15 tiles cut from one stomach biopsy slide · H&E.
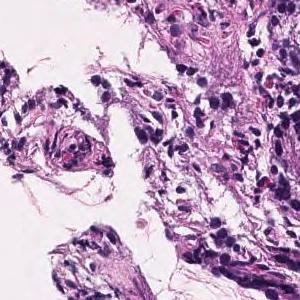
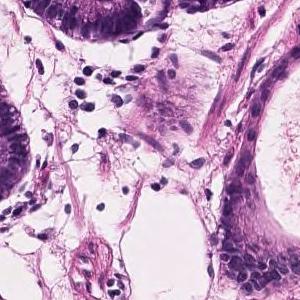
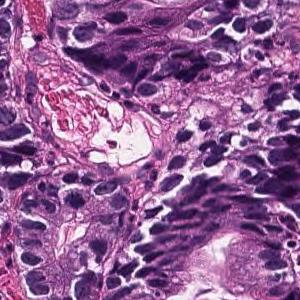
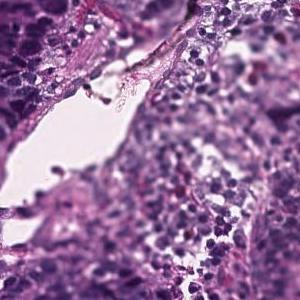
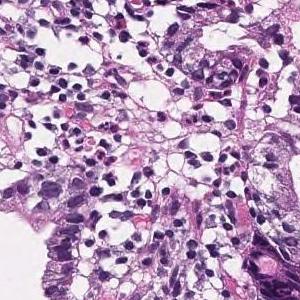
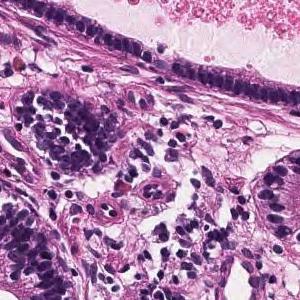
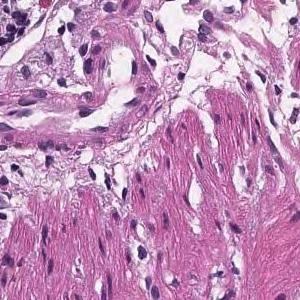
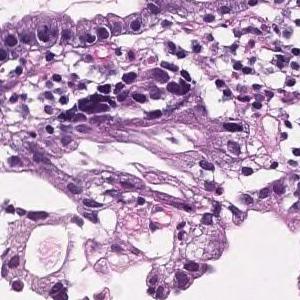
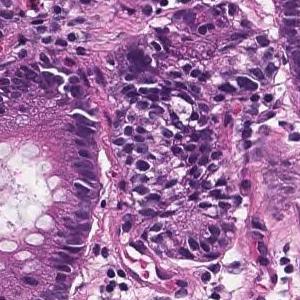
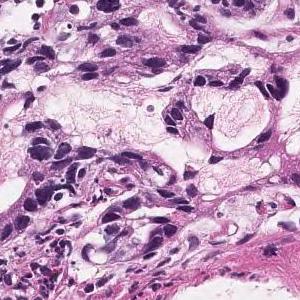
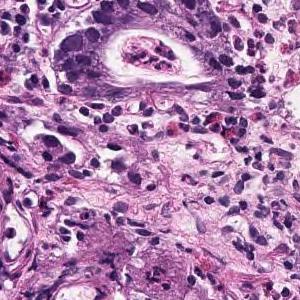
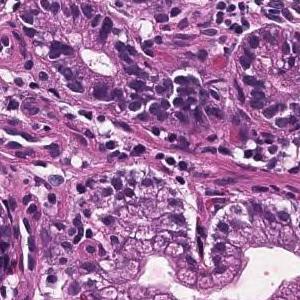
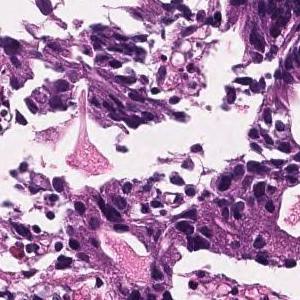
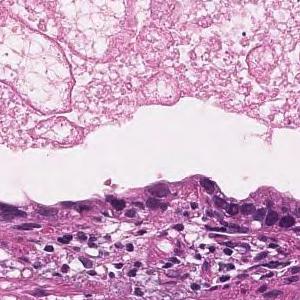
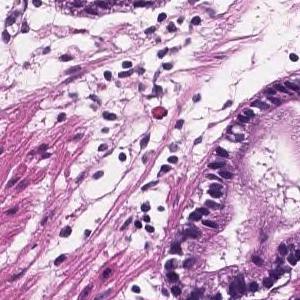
The pathologist's report on the biopsy slide these tiles were taken from. The report describes the whole slide, diagnosis included: not every finding it names need appear in these tiles, which may also show non-tumor tissue.
Tumor tissue consisting of medium-sized and irregular ducts is observed infiltrating in the superficial epithelium. Tumor cells are highly columnar, with nuclei aligned basolaterally and polarized. Well differentiated tubular adenocarcinoma.
